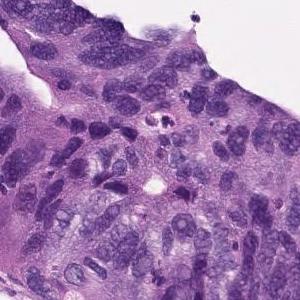
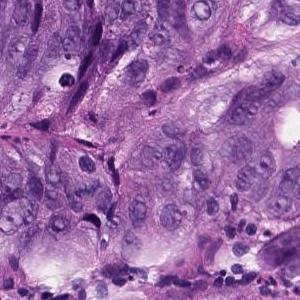
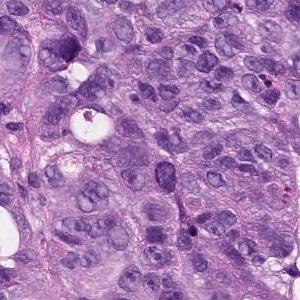
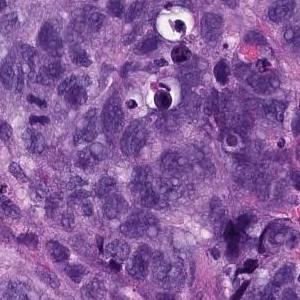
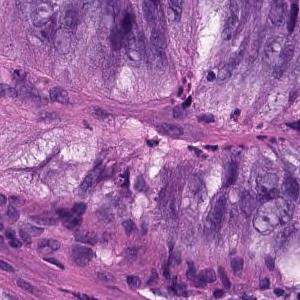
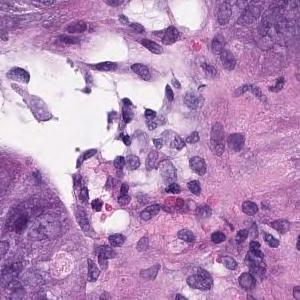
6 tiles cut from one stomach biopsy slide; 300×300 px each; H&E stain; 20× magnification.
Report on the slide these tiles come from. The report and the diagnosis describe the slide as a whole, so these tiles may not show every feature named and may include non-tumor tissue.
In the superficial epithelium, tumor tissue that invades by forming medium-sized to small, irregular ducts is observed. Moderately differentiated adenocarcinoma.
Classified as moderately differentiated tubular adenocarcinoma.
